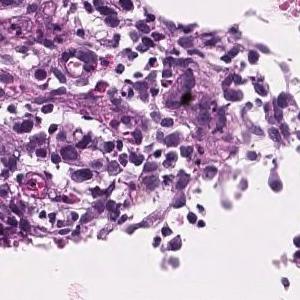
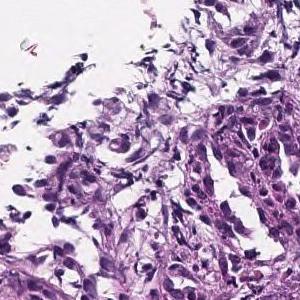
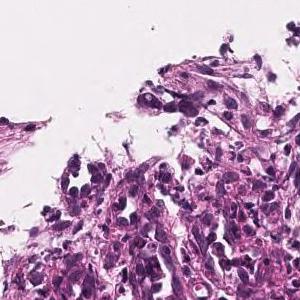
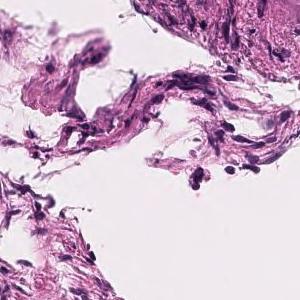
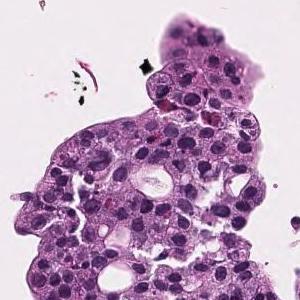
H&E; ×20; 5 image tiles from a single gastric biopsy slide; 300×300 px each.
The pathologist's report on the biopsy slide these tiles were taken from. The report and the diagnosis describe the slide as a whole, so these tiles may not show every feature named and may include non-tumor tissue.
Atypical epithelial cells form obscure ductal structures or small solid follicles, and tumor tissue that proliferates invasively with proliferation of inflammatory granulation tissue is observed. Mucinous adenocarcinoma .
